13 patches cut from one gastric biopsy slide, 300×300 px each, 20× magnification, H&E stain.
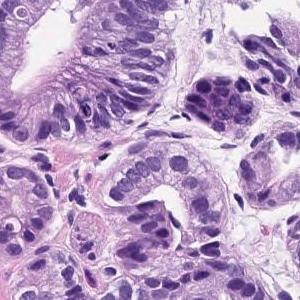
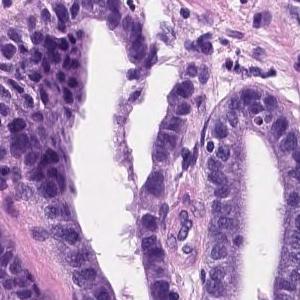
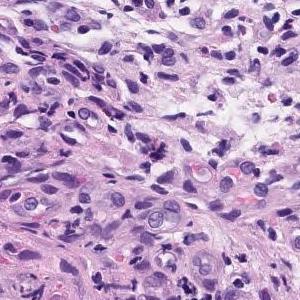
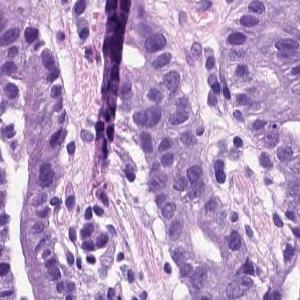
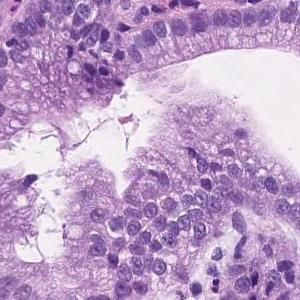
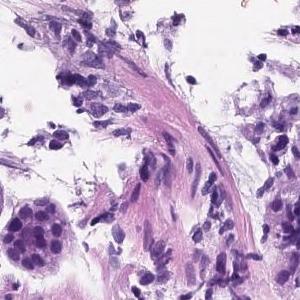
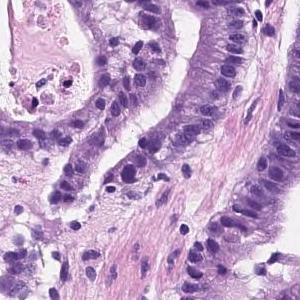
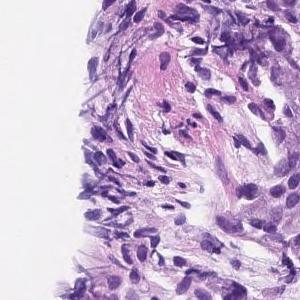
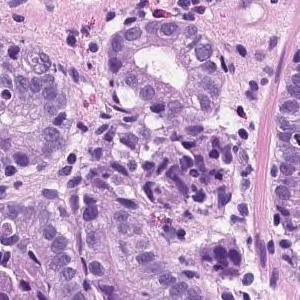
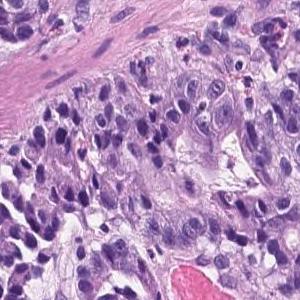
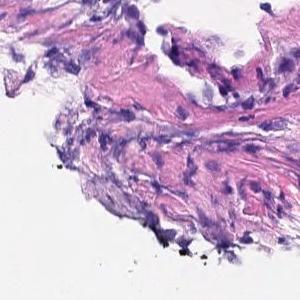
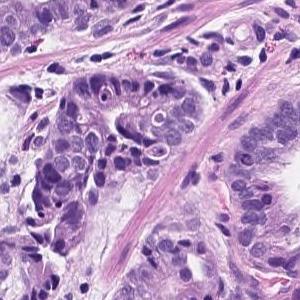
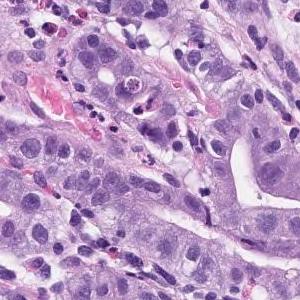
Pathology report for the biopsy slide these tiles were cut from. The report and the diagnosis describe the slide as a whole, so these tiles may not show every feature named and may include non-tumor tissue.
Tumor tissue consisting of medium-sized and irregular ducts is observed infiltrating in the superficial epithelium. Tumor cells are highly columnar, with nuclei aligned basolaterally and polarized. Well differentiated tubular adenocarcinoma.
